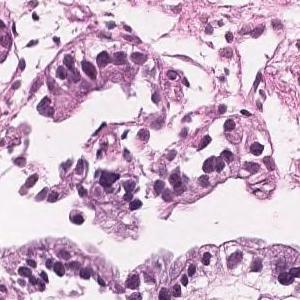
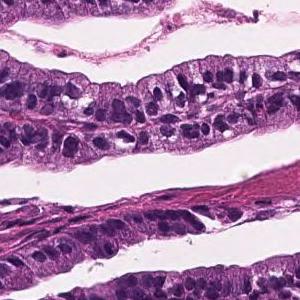
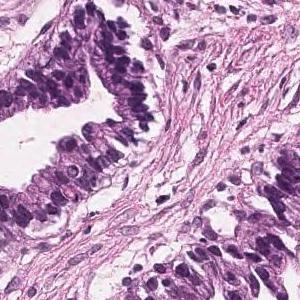
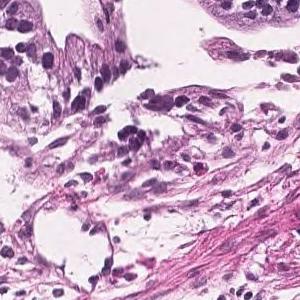
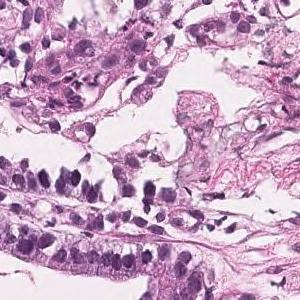
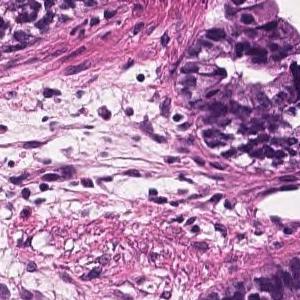
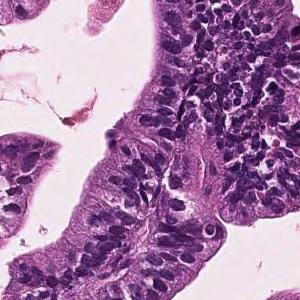
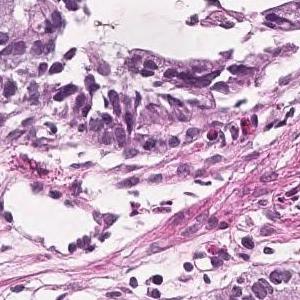
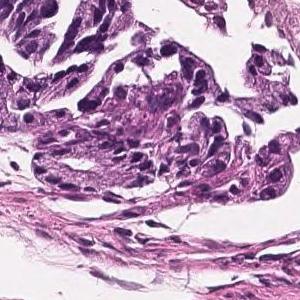
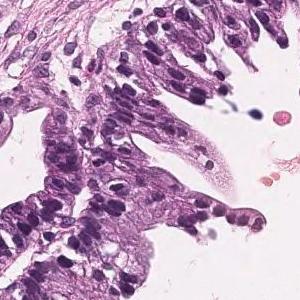
10 image tiles from a single gastric biopsy slide, each 300 × 300 pixels, hematoxylin and eosin stain, 20× magnification.
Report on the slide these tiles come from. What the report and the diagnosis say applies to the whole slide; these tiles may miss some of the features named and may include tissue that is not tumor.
Tumor cells are large, highly columnar, large club-shaped nuclei, and are associated with chromatin aggregation. Papillary adenocarcinoma.
